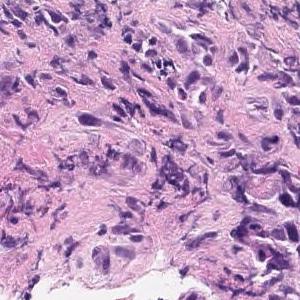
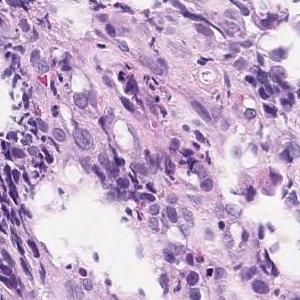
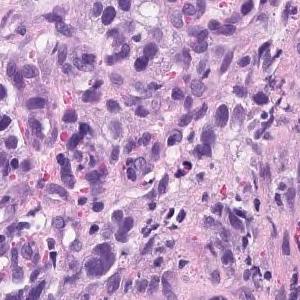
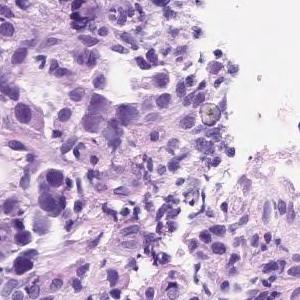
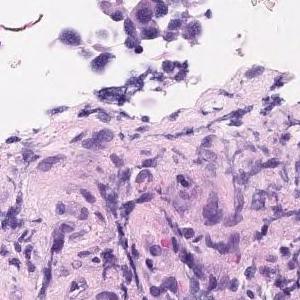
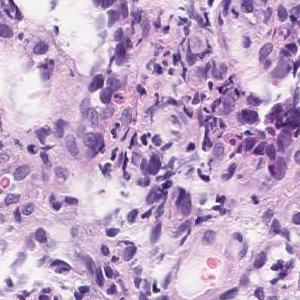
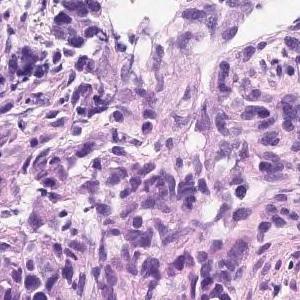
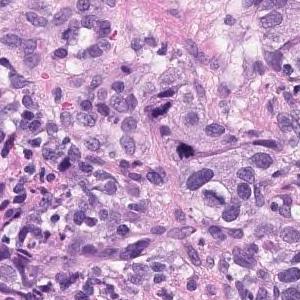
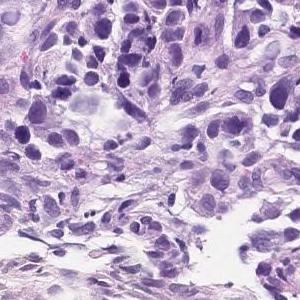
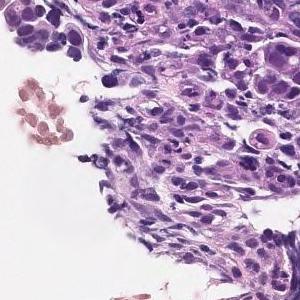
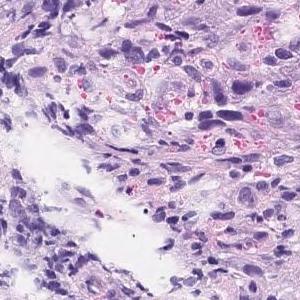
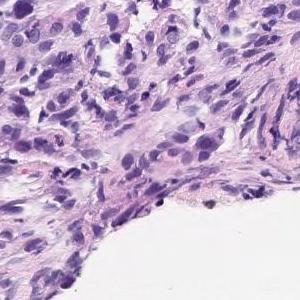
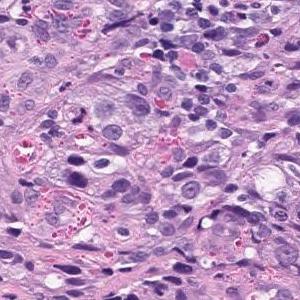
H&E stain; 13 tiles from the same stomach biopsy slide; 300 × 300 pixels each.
Pathology report for the biopsy slide these tiles were cut from. Both the report and the diagnosis are for the whole slide: these tiles need not show every feature named, and some of the tissue shown may not be tumor.
Group 5, Moderately differentiated adenocarcinoma
Subtype: Moderately differentiated tubular adenocarcinoma.
